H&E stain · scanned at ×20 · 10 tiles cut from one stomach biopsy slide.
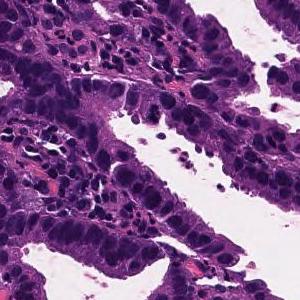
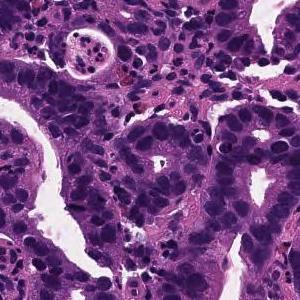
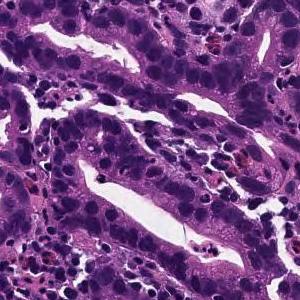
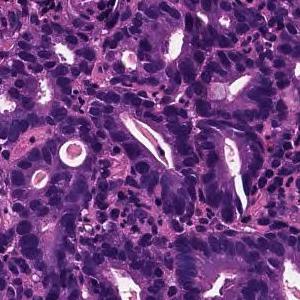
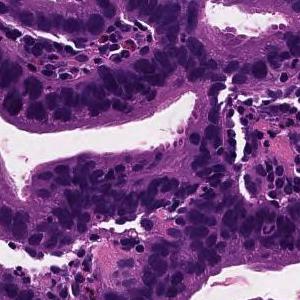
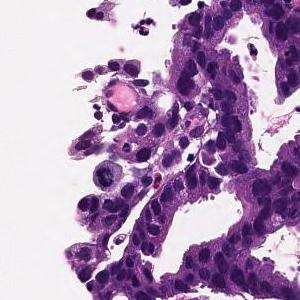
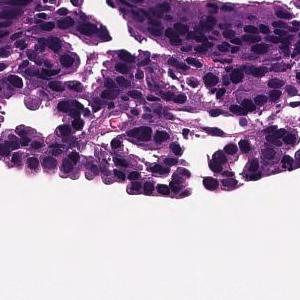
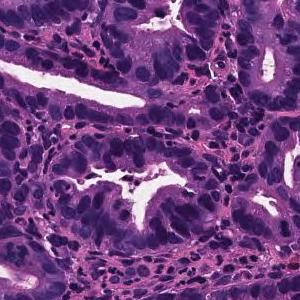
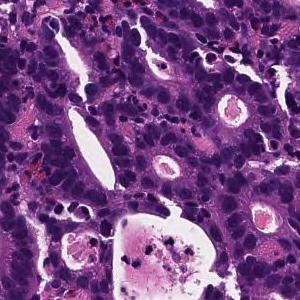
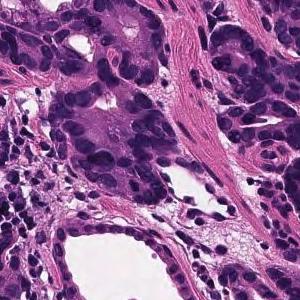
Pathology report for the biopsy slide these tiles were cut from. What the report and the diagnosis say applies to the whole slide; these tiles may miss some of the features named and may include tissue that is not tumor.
On the superficial epithelium, tumor tissue is found in which medium-sized irregular gland ducts fuse with each other and infiltrate. moderately differentiated tubular adenocarcinoma
